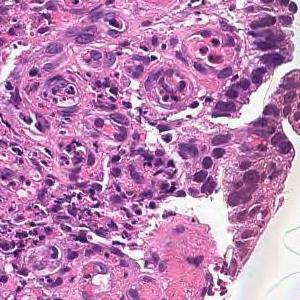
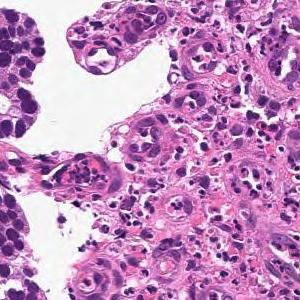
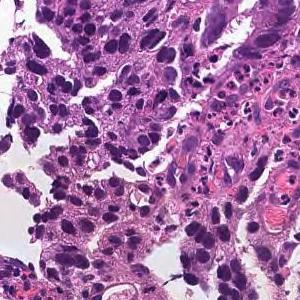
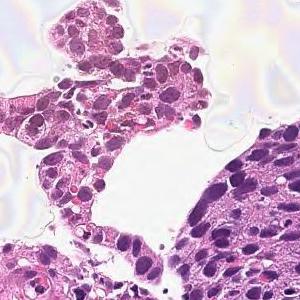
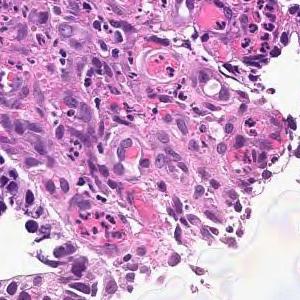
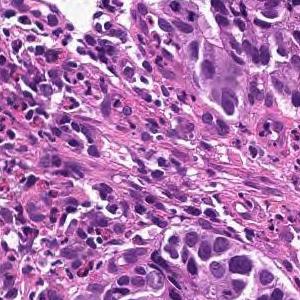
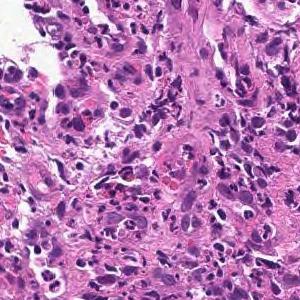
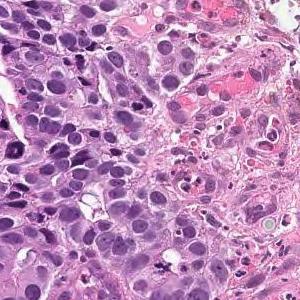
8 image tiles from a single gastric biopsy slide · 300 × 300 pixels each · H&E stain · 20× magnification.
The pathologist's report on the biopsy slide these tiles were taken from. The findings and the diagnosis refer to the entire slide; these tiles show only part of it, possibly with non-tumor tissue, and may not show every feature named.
On the superficial epithelium, tumor tissue consisting of large irregular glandular ducts partially fused and infiltrated is observed. Well to moderately differentiated tubular adenocarcinoma (well differentiated tubular adenocarcinoma, moderately differentiated tubular adenocarcinoma)
Histologic type: Well to moderately differentiated tubular adenocarcinoma.
